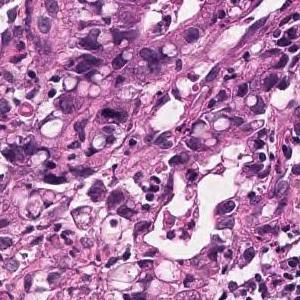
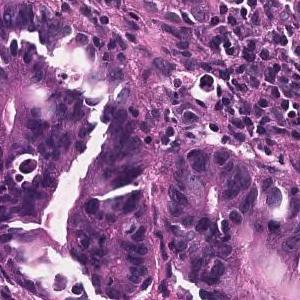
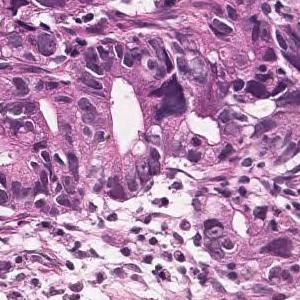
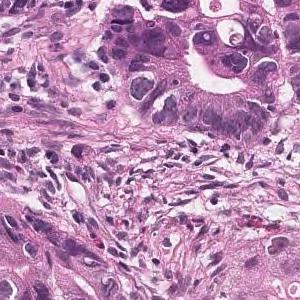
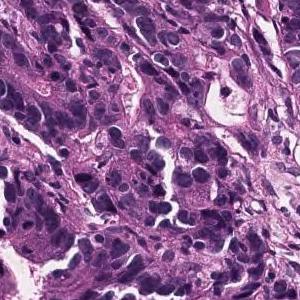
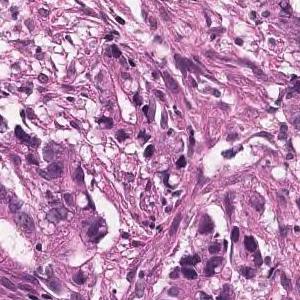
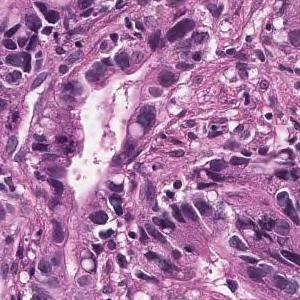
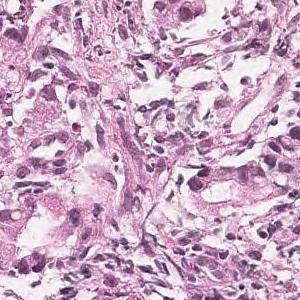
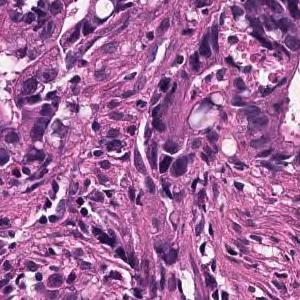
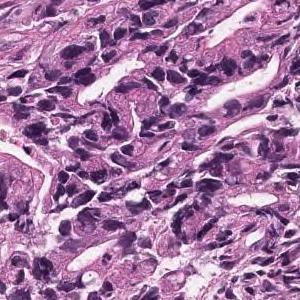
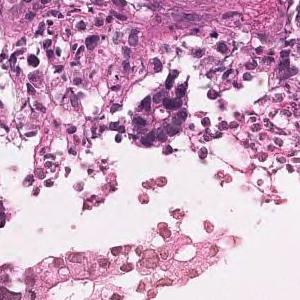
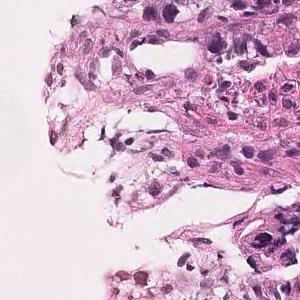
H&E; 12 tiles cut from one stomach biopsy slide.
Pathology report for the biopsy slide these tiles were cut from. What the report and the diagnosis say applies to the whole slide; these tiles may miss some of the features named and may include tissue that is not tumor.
In the superficial epithelium, tumor tissue is found in which medium-sized irregular gland ducts fuse with each other and infiltrate. moderately differentiated tubular adenocarcinoma
